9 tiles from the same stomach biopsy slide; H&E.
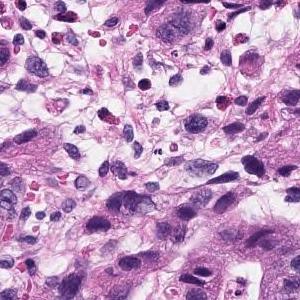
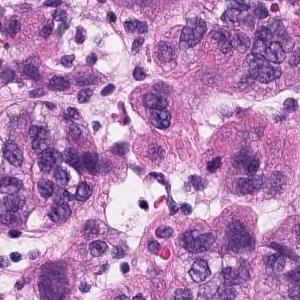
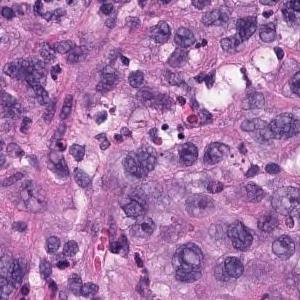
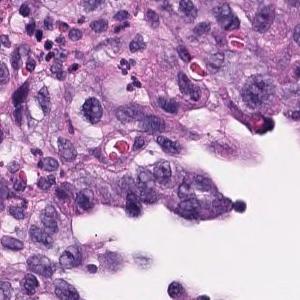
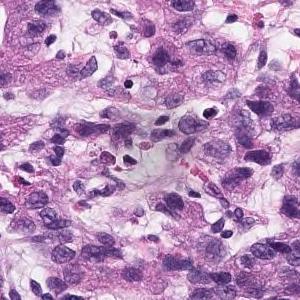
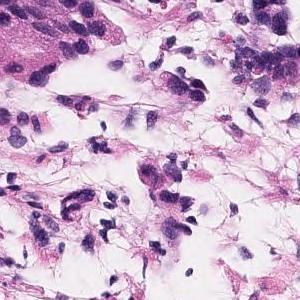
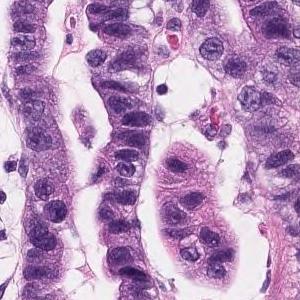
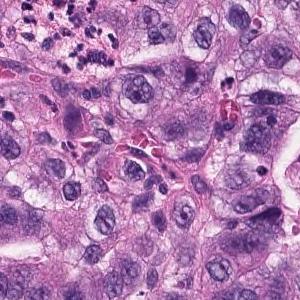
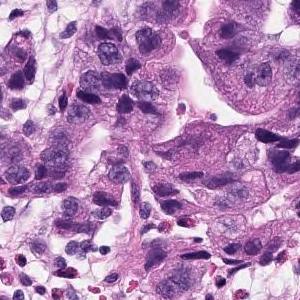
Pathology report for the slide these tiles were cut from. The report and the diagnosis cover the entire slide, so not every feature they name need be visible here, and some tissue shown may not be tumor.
Atypical l cells with atypical nuclei forming diffuse or small irregular atypical ducts and growing. Moderately to poorly differentiated adenocarcinoma (poorly differentiated adenocarcinoma, solid type, moderately differentiated tubular adenocarcinoma)
Tumor subtype: moderately to poorly differentiated adenocarcinoma.
"Solid type" is a category of the Japanese Classification of Gastric Carcinoma; in the WHO 2019 classification it is tubular adenocarcinoma, poorly differentiated.
